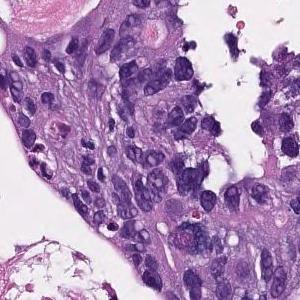
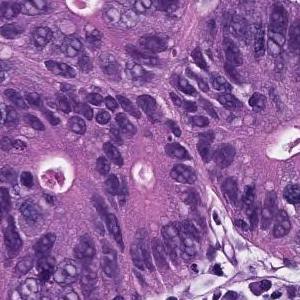
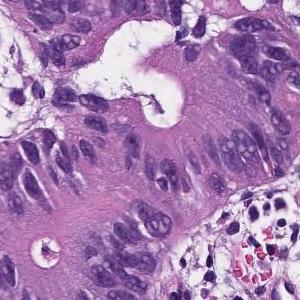
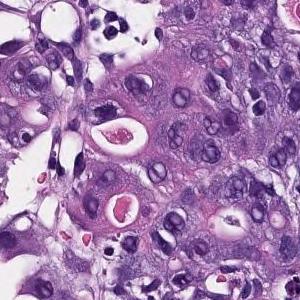
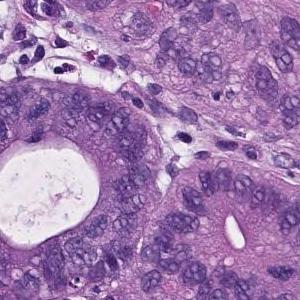
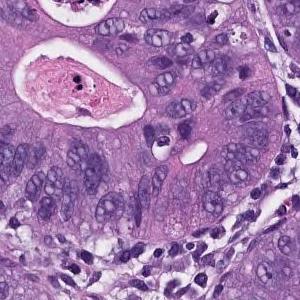
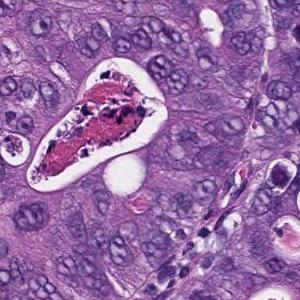
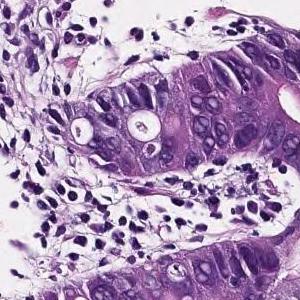
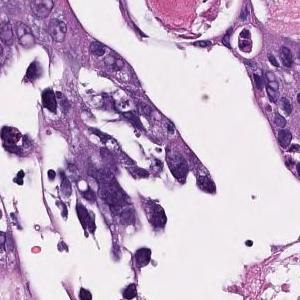
H&E; 20× magnification; 9 image tiles from a single gastric biopsy slide.
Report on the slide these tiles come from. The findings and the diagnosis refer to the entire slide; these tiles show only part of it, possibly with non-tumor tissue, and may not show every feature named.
In the superficial epithelium, tumor tissue that invades by forming medium-sized to small, irregular ducts is observed. moderately differentiated tubular adenocarcinoma.
